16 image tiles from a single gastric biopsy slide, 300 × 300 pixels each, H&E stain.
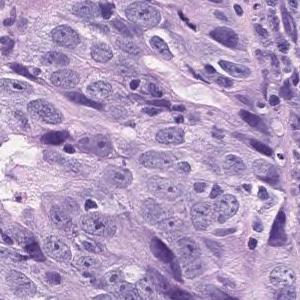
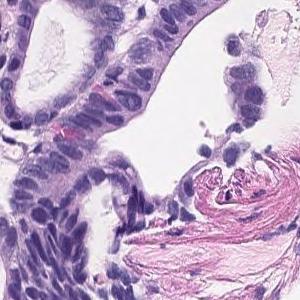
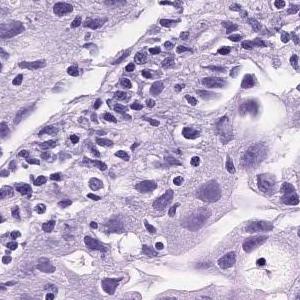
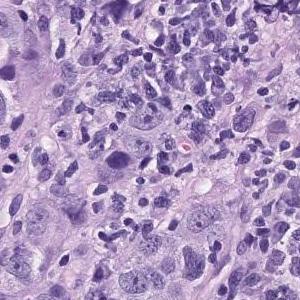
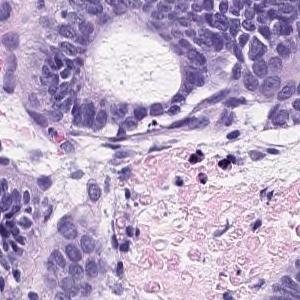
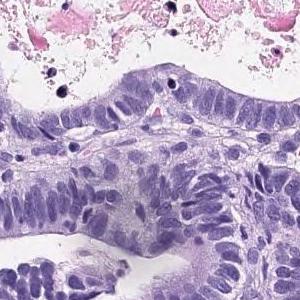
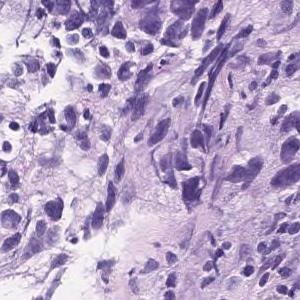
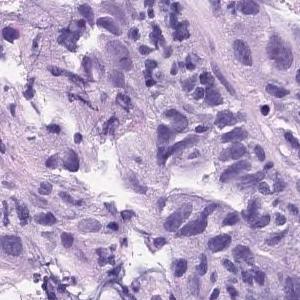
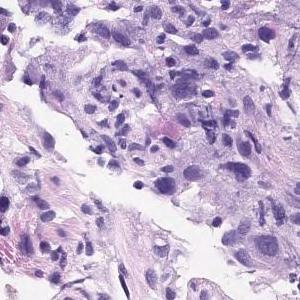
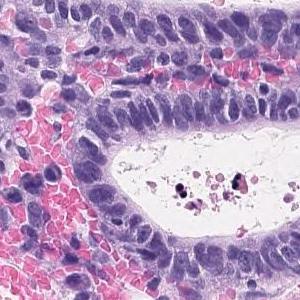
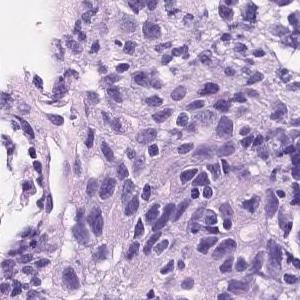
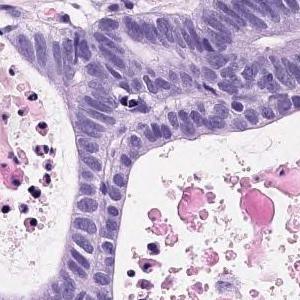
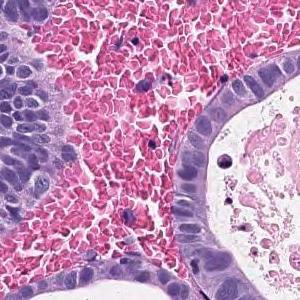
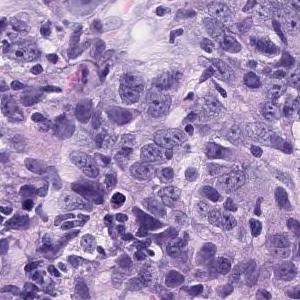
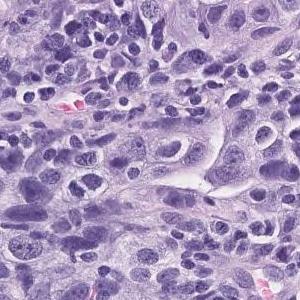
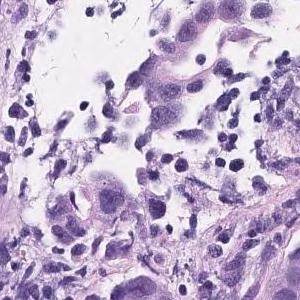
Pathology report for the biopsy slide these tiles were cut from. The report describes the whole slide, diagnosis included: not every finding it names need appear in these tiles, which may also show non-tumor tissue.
The superficial epithelium shows a large sheet-like shape, and some tumor tissue infiltrates with small irregular ducts. Poorly differentiated adenocarcinoma, solid-type
Histological subtype: Poorly differentiated adenocarcinoma, solid type, a category of the Japanese Classification of Gastric Carcinoma; in the WHO 2019 classification it is tubular adenocarcinoma, poorly differentiated.
